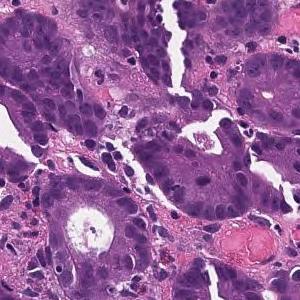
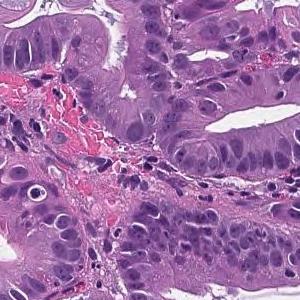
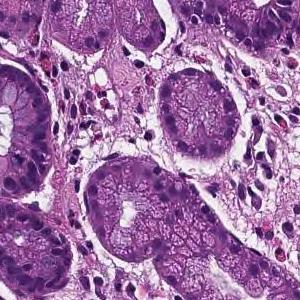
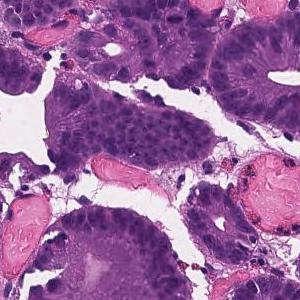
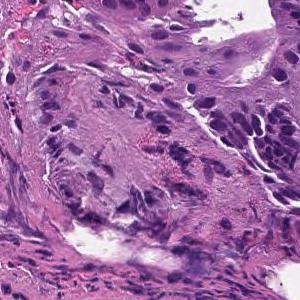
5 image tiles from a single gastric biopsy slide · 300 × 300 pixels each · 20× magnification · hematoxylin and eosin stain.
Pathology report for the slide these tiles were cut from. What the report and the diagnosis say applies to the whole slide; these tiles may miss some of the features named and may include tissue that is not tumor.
From the superficial epithelium to the muscularis mucosae, tumor tissue consisting of medium-sized and irregular glandular ducts infiltrating is observed. Well differentiated tubular adenocarcinoma
